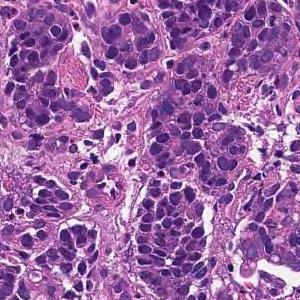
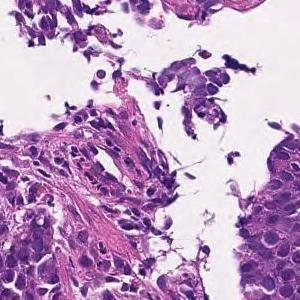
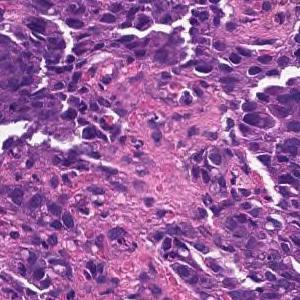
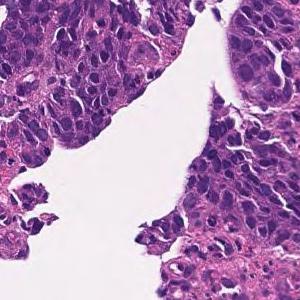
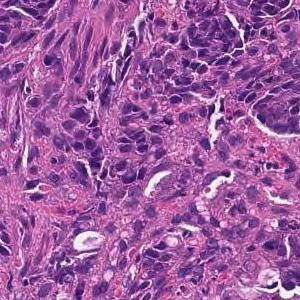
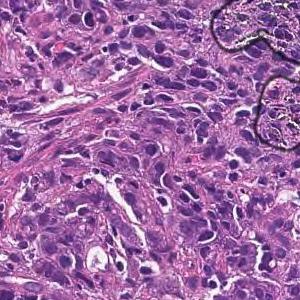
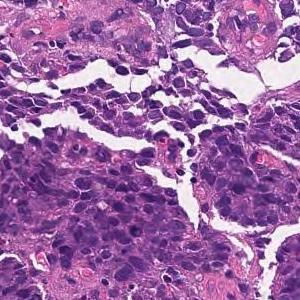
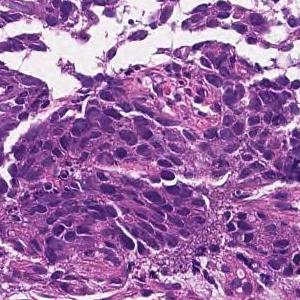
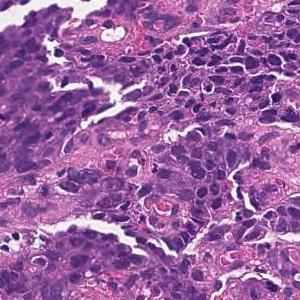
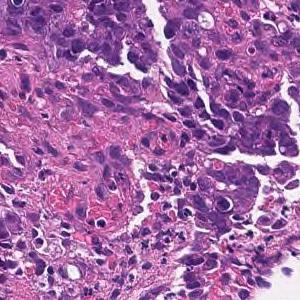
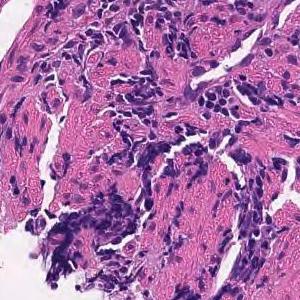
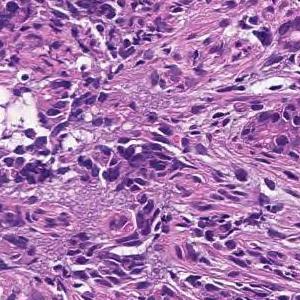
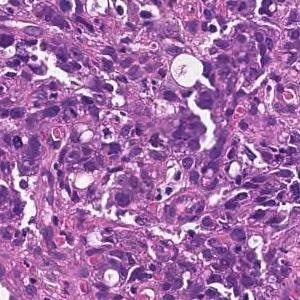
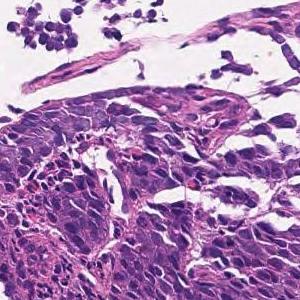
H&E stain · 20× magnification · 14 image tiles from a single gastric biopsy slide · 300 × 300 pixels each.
Diagnostic report for the slide these tiles come from. Both the report and the diagnosis are for the whole slide: these tiles need not show every feature named, and some of the tissue shown may not be tumor.
Tumor tissue consisting of cord-like or small, irregular glandular ducts fused and infiltrated is observed in the superficial epithelium. Poorly differentiated adenocarcinoma, non-solid type
The term "non-solid type" comes from the Japanese Classification of Gastric Carcinoma.
